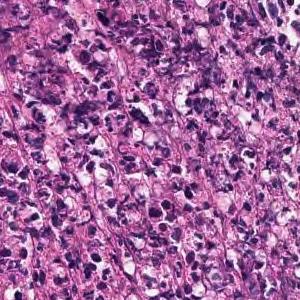
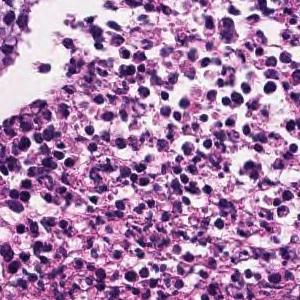
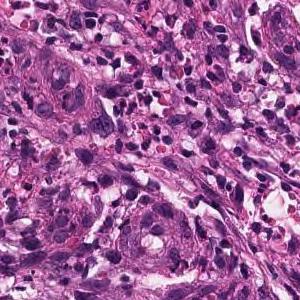
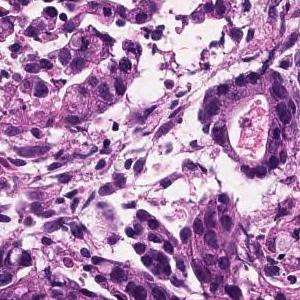
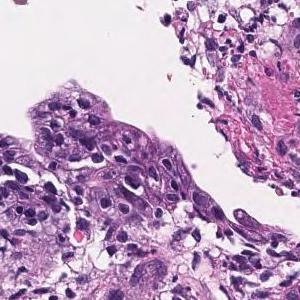
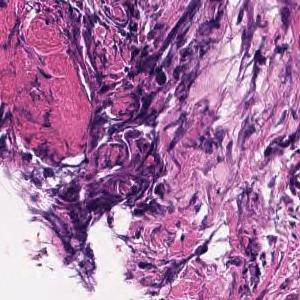
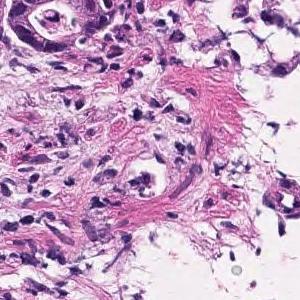
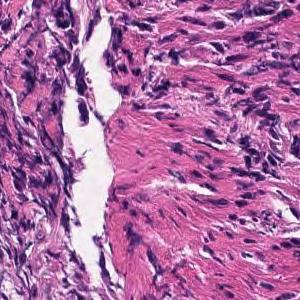
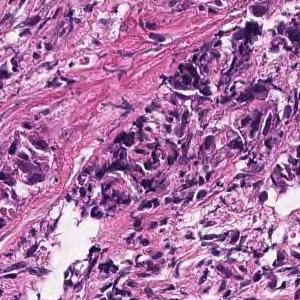
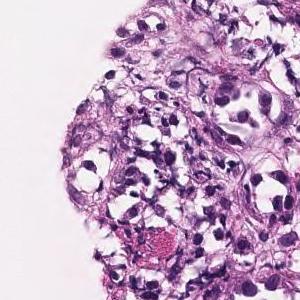
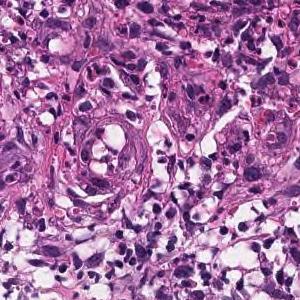
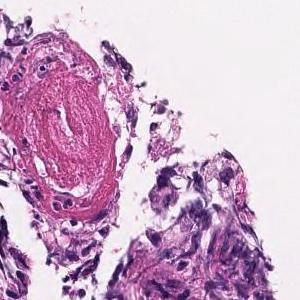
12 tiles from the same stomach biopsy slide, 300 × 300 pixels each, H&E stain.
Pathology report for the biopsy slide these tiles were cut from. What the report and the diagnosis say applies to the whole slide; these tiles may miss some of the features named and may include tissue that is not tumor.
In the superficial epithelium, medium to small, irregular gland ducts are formed, and in some cases, the gland ducts are fused to show solid alveolar lesions and infiltrating tumor tissue is observed. Moderately to poorly differentiated adenocarcinoma.
